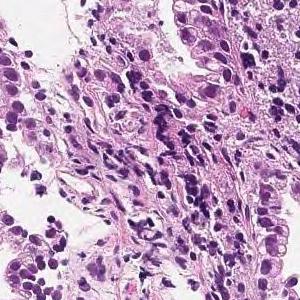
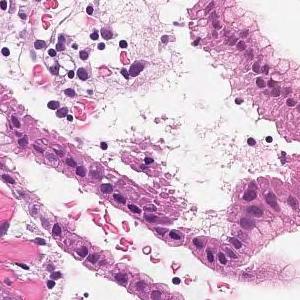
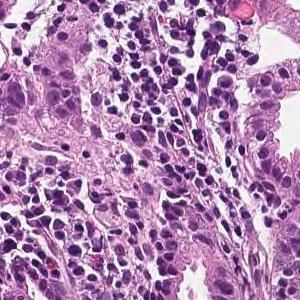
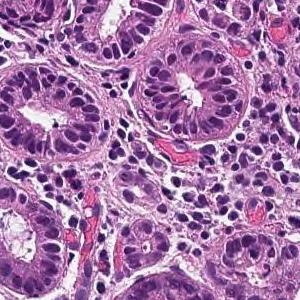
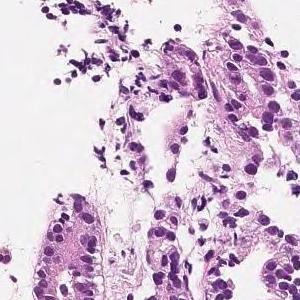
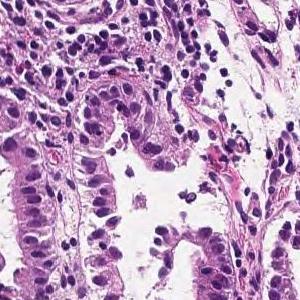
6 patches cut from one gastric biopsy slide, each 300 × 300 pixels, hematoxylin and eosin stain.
Pathology report for the slide these tiles were cut from. Both the report and the diagnosis are for the whole slide: these tiles need not show every feature named, and some of the tissue shown may not be tumor.
In the superficial epithelium, tumor tissue that invades by forming medium-sized to small, irregular ducts is observed. moderately differentiated tubular adenocarcinoma.
